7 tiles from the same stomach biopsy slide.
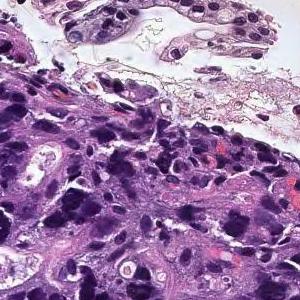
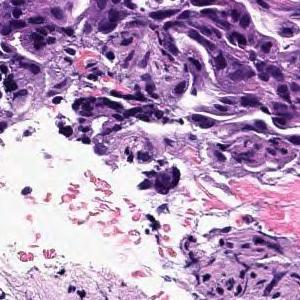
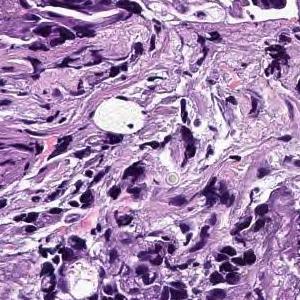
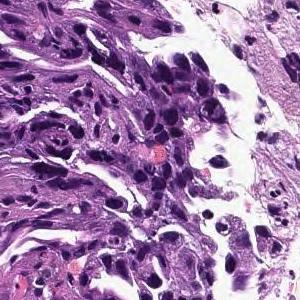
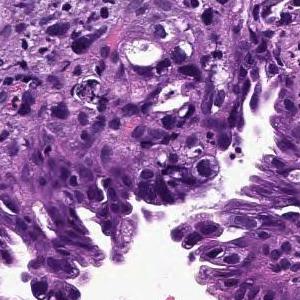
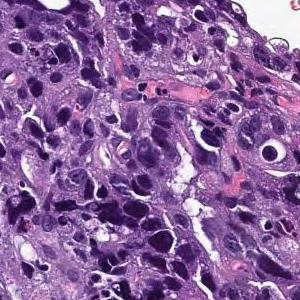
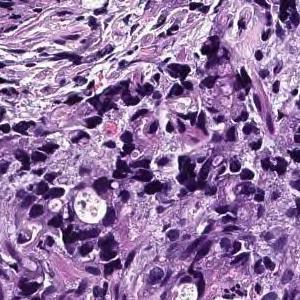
The pathologist's report on the biopsy slide these tiles were taken from. What the report and the diagnosis say applies to the whole slide; these tiles may miss some of the features named and may include tissue that is not tumor.
The superficial epithelium shows small cord-like infiltrating tumor tissue. Tumor cells are invading single cell manner without mucin production. Poorly differentiated adenocarcinoma, non-solid type
The term "non-solid type" comes from the Japanese Classification of Gastric Carcinoma.
